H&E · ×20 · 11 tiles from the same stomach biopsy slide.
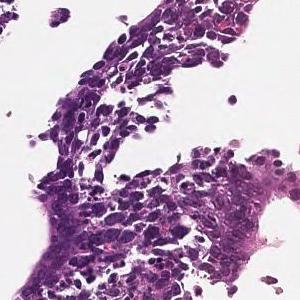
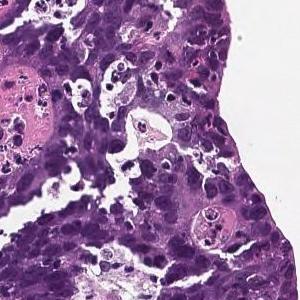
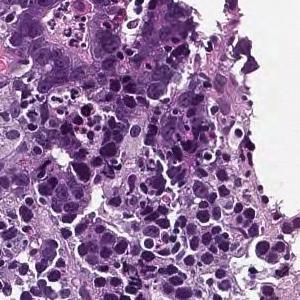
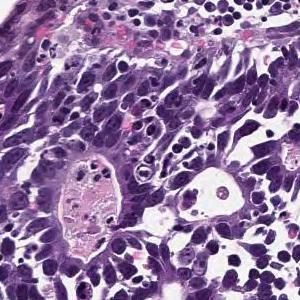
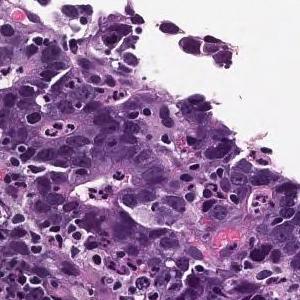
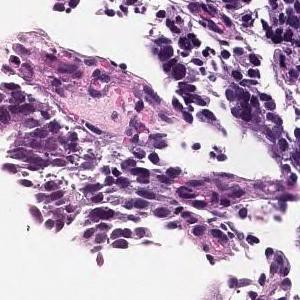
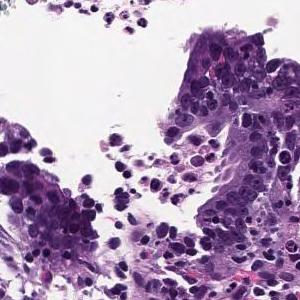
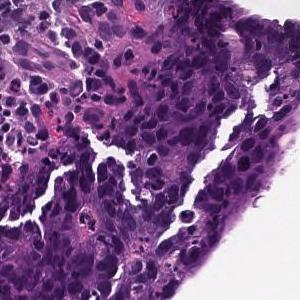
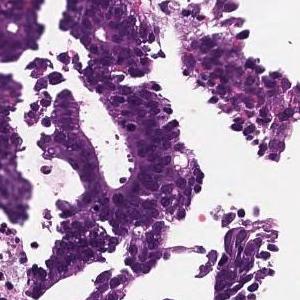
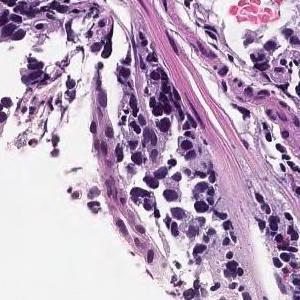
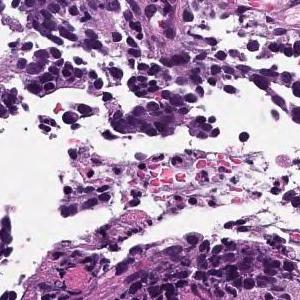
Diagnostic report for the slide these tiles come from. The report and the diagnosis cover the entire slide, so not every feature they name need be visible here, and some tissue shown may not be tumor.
On the superficial epithelium, tumor tissue is found in which medium-sized irregular gland ducts fuse with each other and infiltrate. moderately differentiated tubular adenocarcinoma
